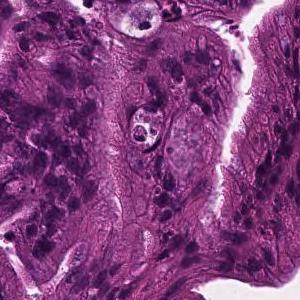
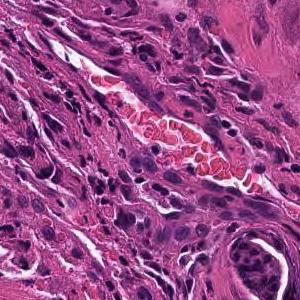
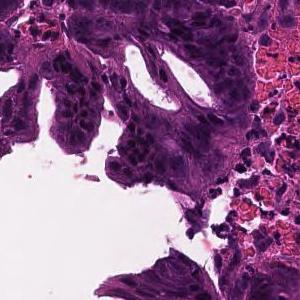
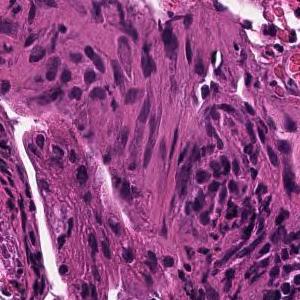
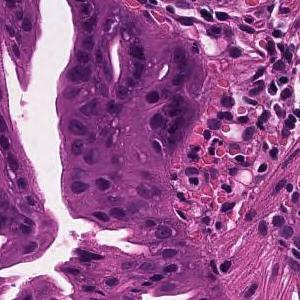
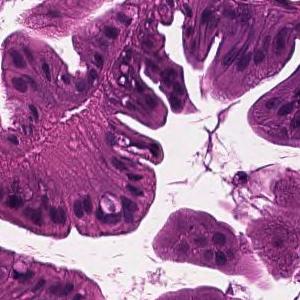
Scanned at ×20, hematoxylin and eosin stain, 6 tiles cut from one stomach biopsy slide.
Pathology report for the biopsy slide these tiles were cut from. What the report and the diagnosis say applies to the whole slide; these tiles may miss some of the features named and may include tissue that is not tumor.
Tumor cells are large, highly columnar, large club-shaped nuclei, and are associated with chromatin aggregation. Papillary adenocarcinoma.
